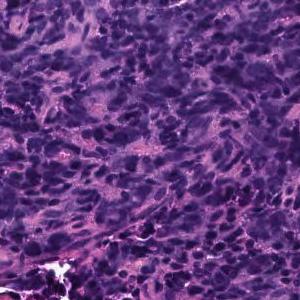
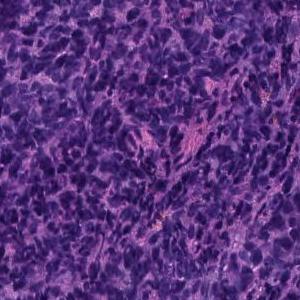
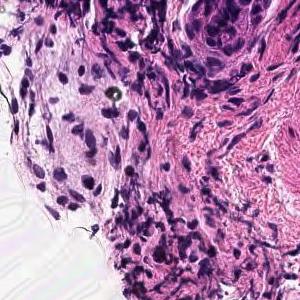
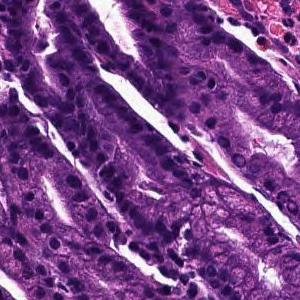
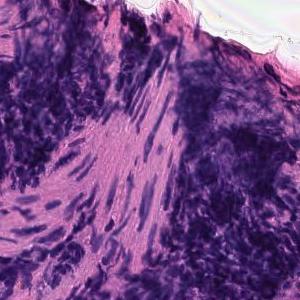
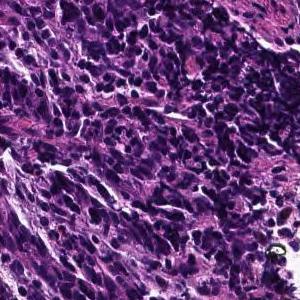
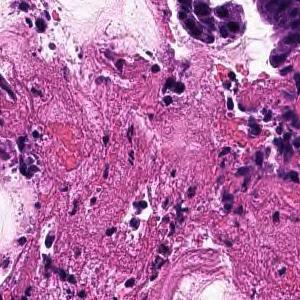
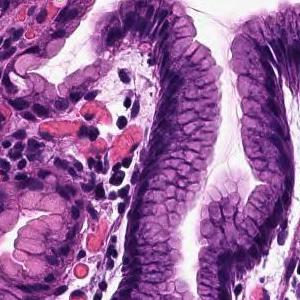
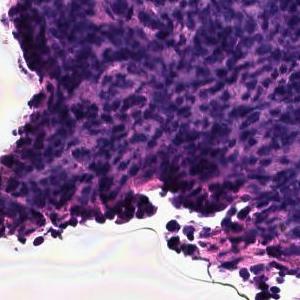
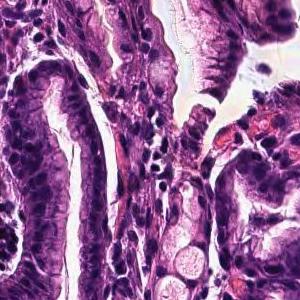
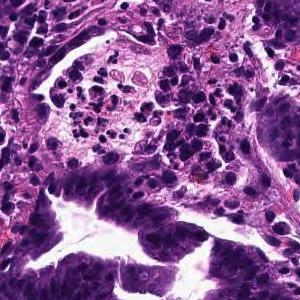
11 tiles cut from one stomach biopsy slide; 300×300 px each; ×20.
Report on the slide these tiles come from. What the report and the diagnosis say applies to the whole slide; these tiles may miss some of the features named and may include tissue that is not tumor.
The superficial epithelium shows a large sheet-like shape, and some tumor tissue infiltrates with small irregular ducts. Poorly differentiated adenocarcinoma, solid-type
Subtype: Poorly differentiated adenocarcinoma, solid type, a category of the Japanese Classification of Gastric Carcinoma; in the WHO 2019 classification it is tubular adenocarcinoma, poorly differentiated.
